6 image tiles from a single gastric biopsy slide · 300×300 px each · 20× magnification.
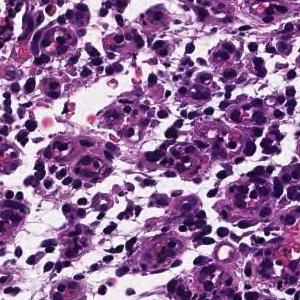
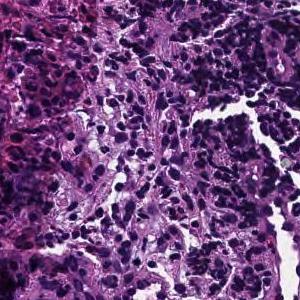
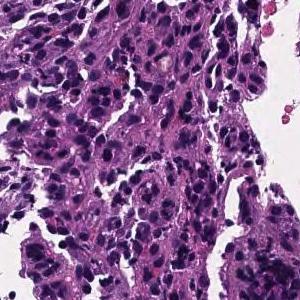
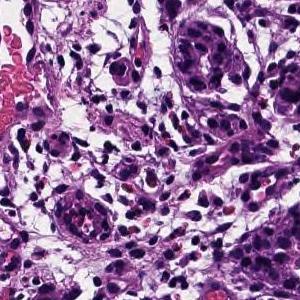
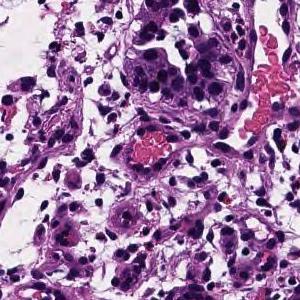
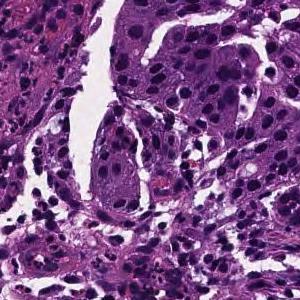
Report on the slide these tiles come from. The findings and the diagnosis refer to the entire slide; these tiles show only part of it, possibly with non-tumor tissue, and may not show every feature named.
Tumor tissue consisting of cord-like or small, irregular glandular ducts fused and infiltrated is observed in the superficial epithelium. Poorly differentiated adenocarcinoma, non-solid type
The term "non-solid type" comes from the Japanese Classification of Gastric Carcinoma.
